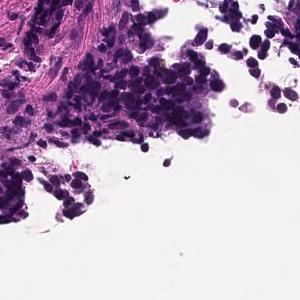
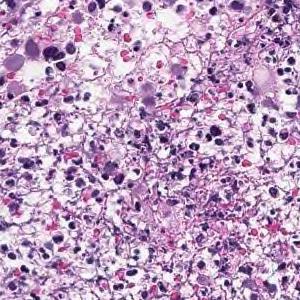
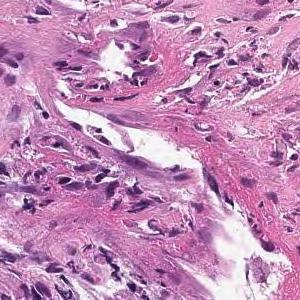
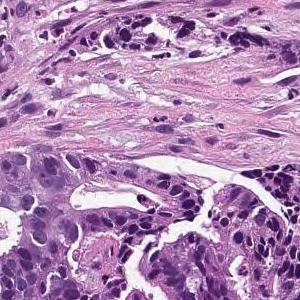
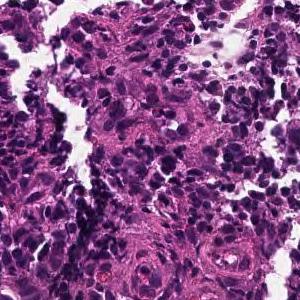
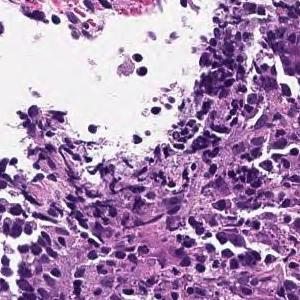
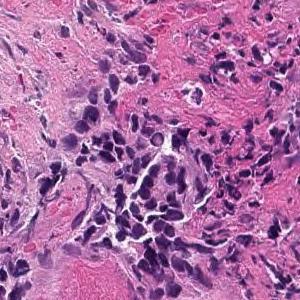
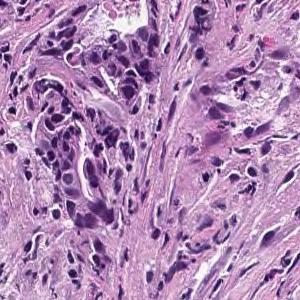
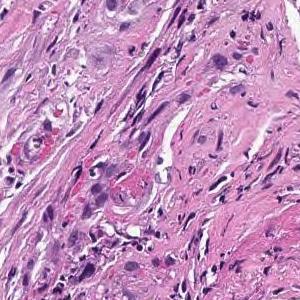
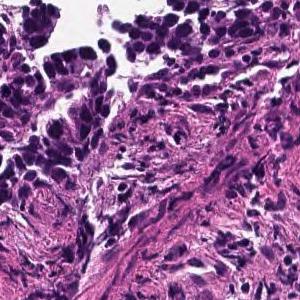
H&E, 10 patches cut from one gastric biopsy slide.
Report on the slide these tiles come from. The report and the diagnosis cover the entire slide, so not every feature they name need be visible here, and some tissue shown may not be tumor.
In the superficial epithelium, tumor tissue that invades by forming medium-sized to small, irregular ducts is observed. moderately differentiated tubular adenocarcinoma.
